12 image tiles from a single gastric biopsy slide · H&E.
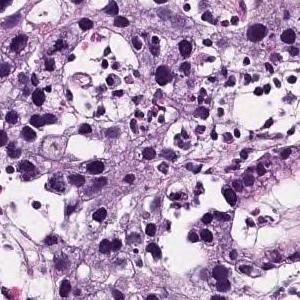
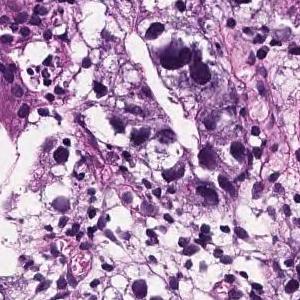
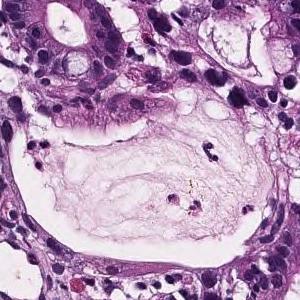
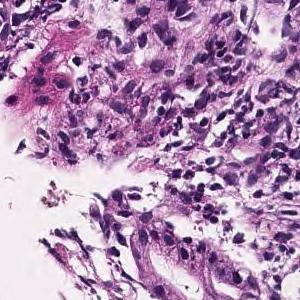
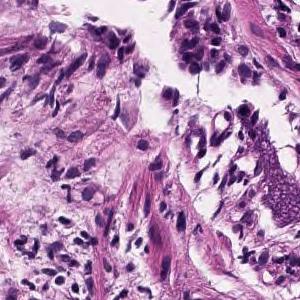
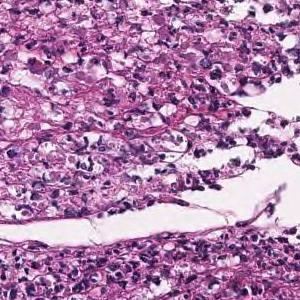
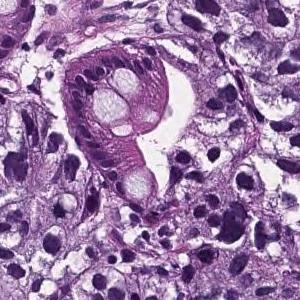
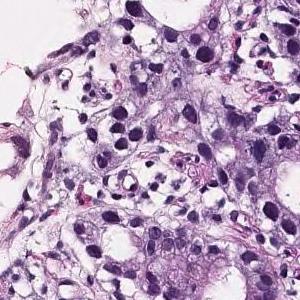
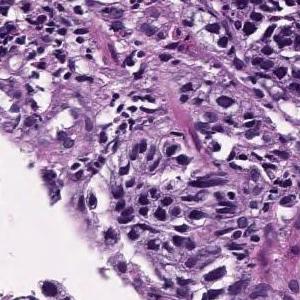
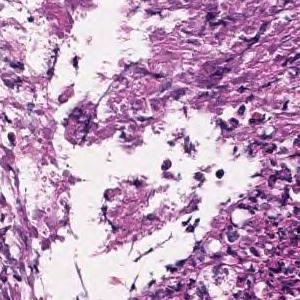
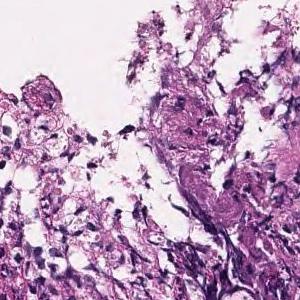
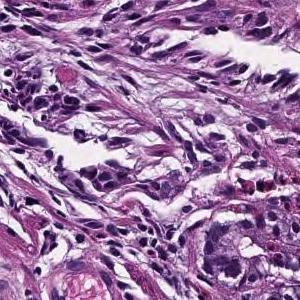
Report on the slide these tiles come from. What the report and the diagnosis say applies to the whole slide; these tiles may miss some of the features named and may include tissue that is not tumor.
In the superficial epithelium, medium to small irregular gland ducts are formed, and in some cases, the ducts are fused to show solid alveolar lesions and infiltrating tumor tissue is observed. Moderately to poorly differentiated adenocarcinoma
